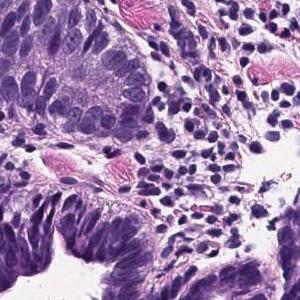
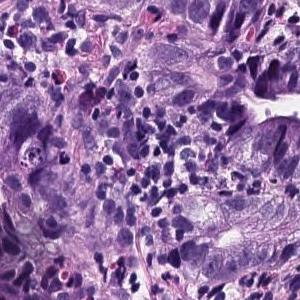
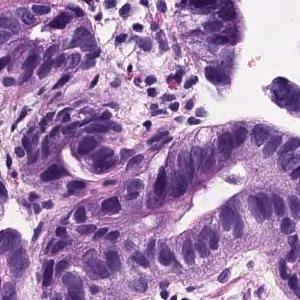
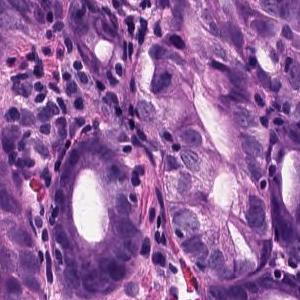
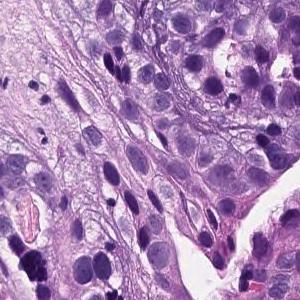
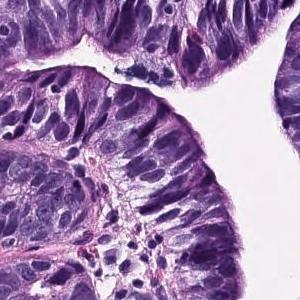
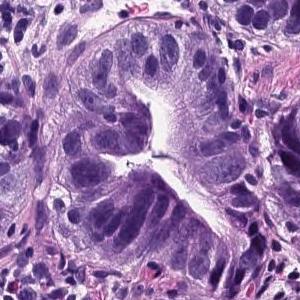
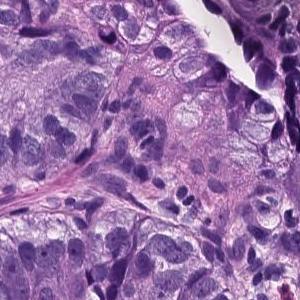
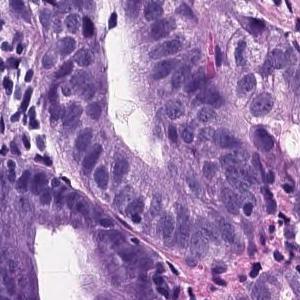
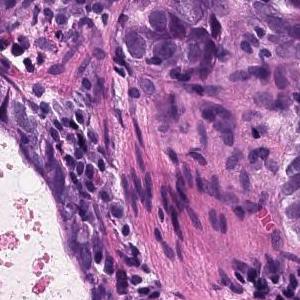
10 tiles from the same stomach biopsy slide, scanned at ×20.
Pathology report for the slide these tiles were cut from. The report describes the whole slide, diagnosis included: not every finding it names need appear in these tiles, which may also show non-tumor tissue.
Atypical epithelial cells infiltrating and proliferating while forming a glandular cavity is observed. moderately differentiated tubular adenocarcinoma
